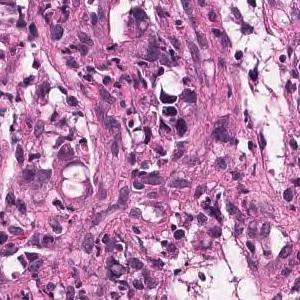
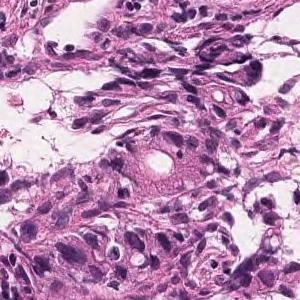
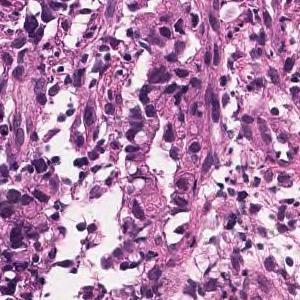
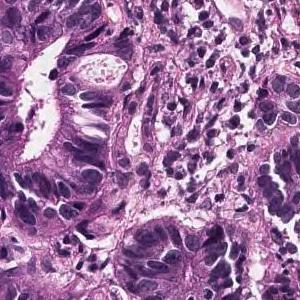
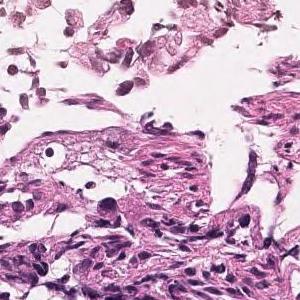
H&E stain · 5 tiles from the same stomach biopsy slide.
Report on the slide these tiles come from. The report and the diagnosis cover the entire slide, so not every feature they name need be visible here, and some tissue shown may not be tumor.
In the superficial epithelium, tumor tissue is found in which medium-sized irregular gland ducts fuse with each other and infiltrate. moderately differentiated tubular adenocarcinoma
